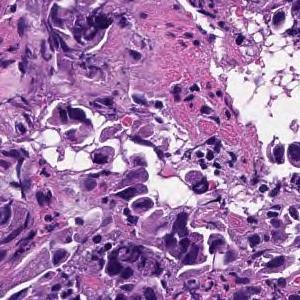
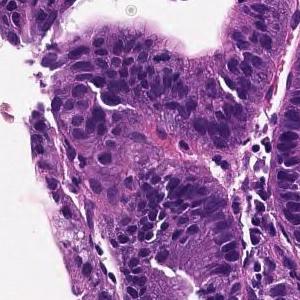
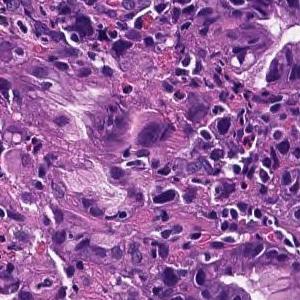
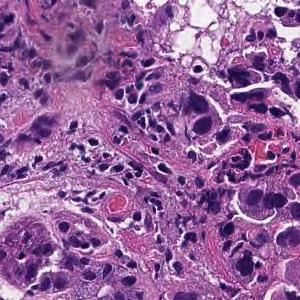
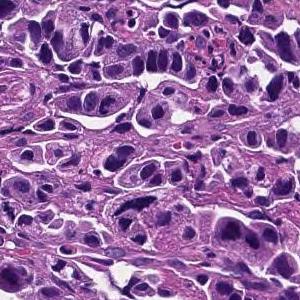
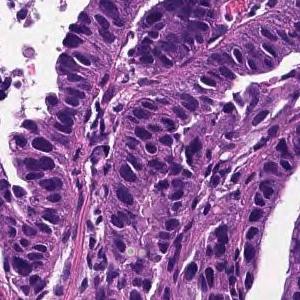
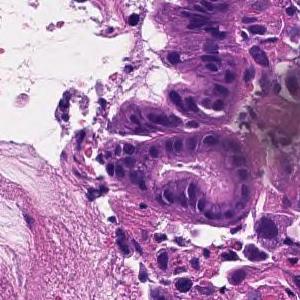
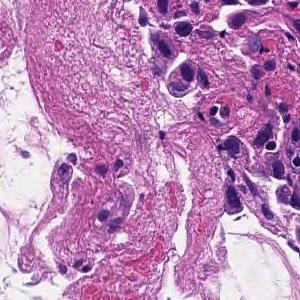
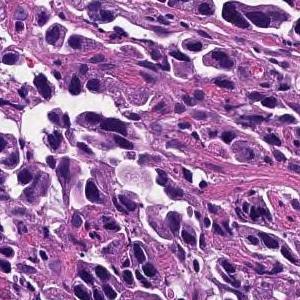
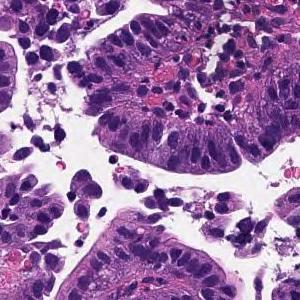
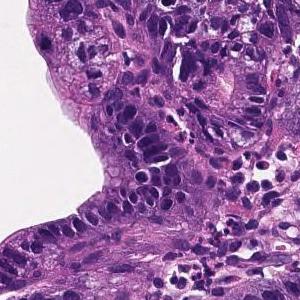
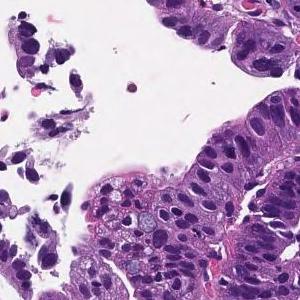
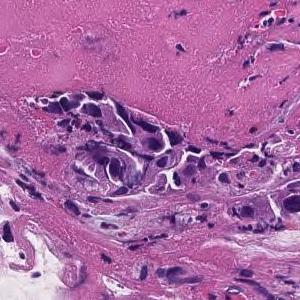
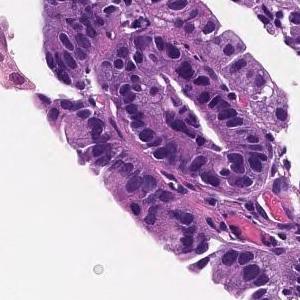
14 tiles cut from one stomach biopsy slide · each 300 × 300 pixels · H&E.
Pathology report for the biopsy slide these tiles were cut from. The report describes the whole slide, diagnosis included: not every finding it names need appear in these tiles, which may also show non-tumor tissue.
Tumor tissue consisting of medium-sized, cord-like or irregular glandular infiltration is observed in the superficial epithelium. Poorly differentiated adenocarcinoma, non-solid type or moderately differentiated tubular adenocarcinoma
Subtype: Moderately to poorly differentiated adenocarcinoma.
The term "non-solid type" comes from the Japanese Classification of Gastric Carcinoma.
